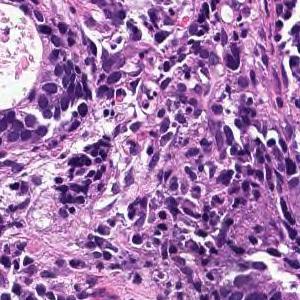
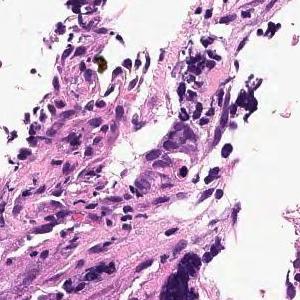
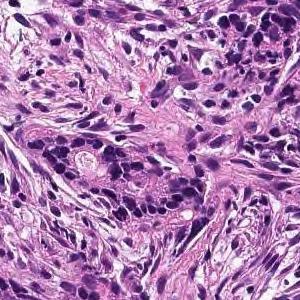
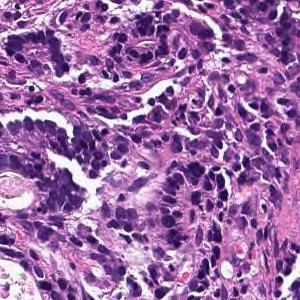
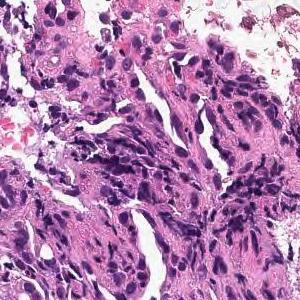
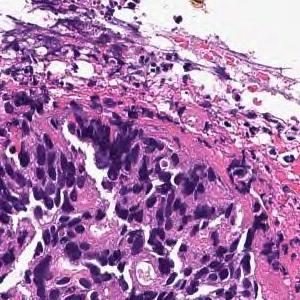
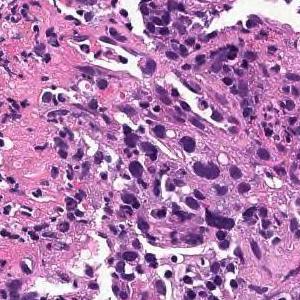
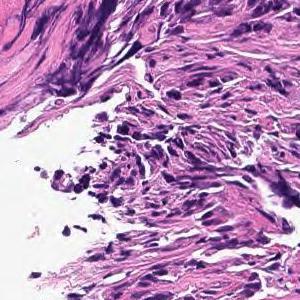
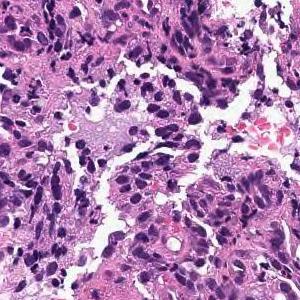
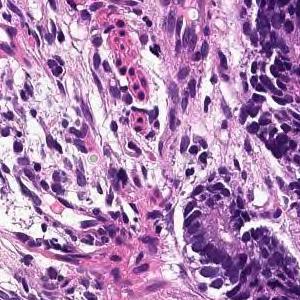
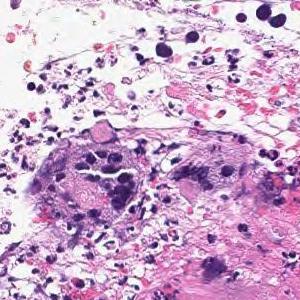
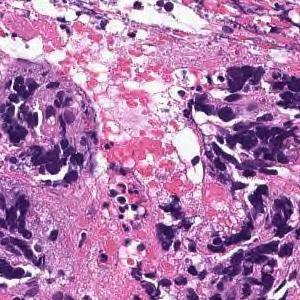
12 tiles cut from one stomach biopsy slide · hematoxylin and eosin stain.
Pathology report for the slide these tiles were cut from. The report and the diagnosis cover the entire slide, so not every feature they name need be visible here, and some tissue shown may not be tumor.
Tumor tissue consisting of medium-sized, cord-like or irregular glandular infiltration is observed in the superficial epithelium. Poorly differentiated adenocarcinoma, non-solid type or moderately differentiated tubular adenocarcinoma
Tumor subtype: moderately to poorly differentiated adenocarcinoma.
"Non-solid type" is a category of the Japanese Classification of Gastric Carcinoma.
